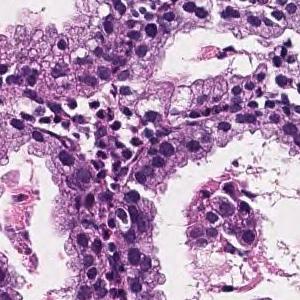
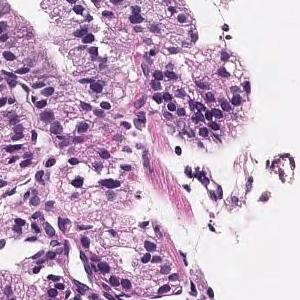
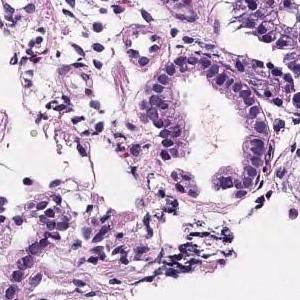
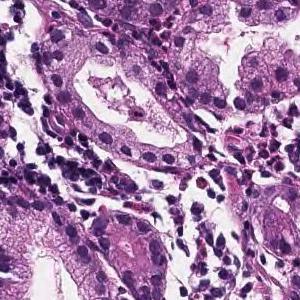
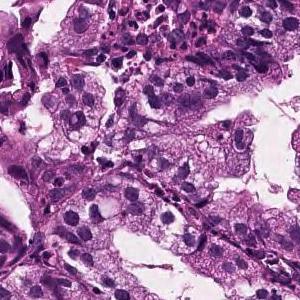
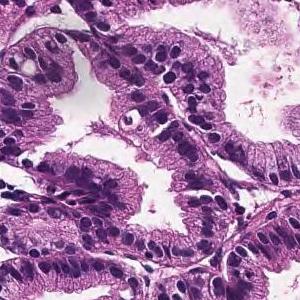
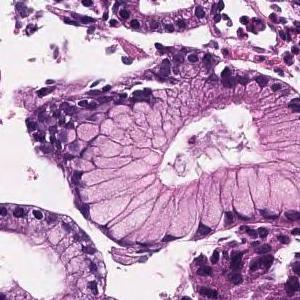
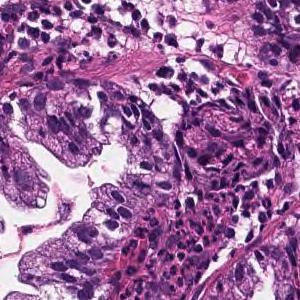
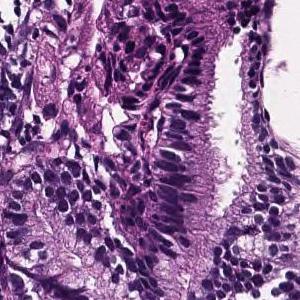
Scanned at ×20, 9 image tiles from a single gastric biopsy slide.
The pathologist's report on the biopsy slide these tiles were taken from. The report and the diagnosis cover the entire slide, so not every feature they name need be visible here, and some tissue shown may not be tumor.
In the superficial epithelium, tumor tissue that infiltrates by forming medium-sized papillary or small irregular ducts is observed. Papillary adenocarcinoma
